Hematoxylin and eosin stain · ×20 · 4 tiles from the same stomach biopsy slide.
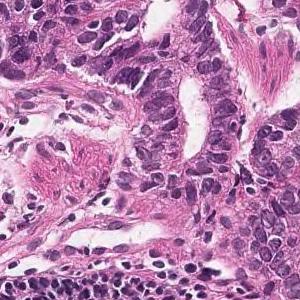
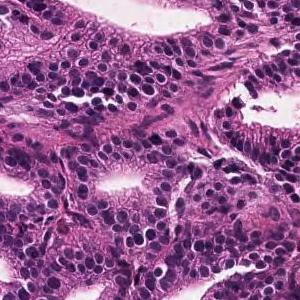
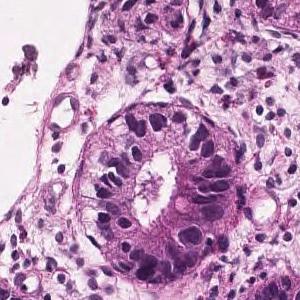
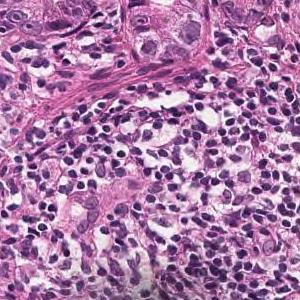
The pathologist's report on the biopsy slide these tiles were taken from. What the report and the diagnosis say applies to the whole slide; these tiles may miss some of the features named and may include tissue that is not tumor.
Tumor tissue consisting of medium-sized and irregular ducts is observed infiltrating in the superficial epithelium. Tumor cells are highly columnar, with nuclei aligned basolaterally and polarized. Well differentiated tubular adenocarcinoma.
